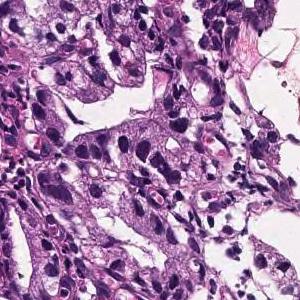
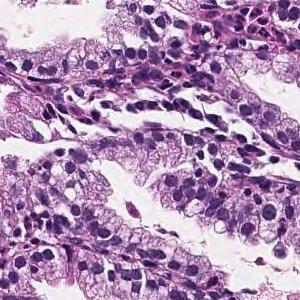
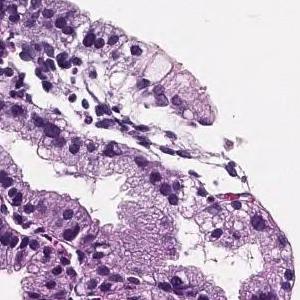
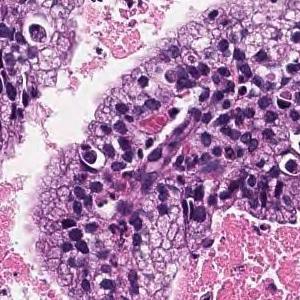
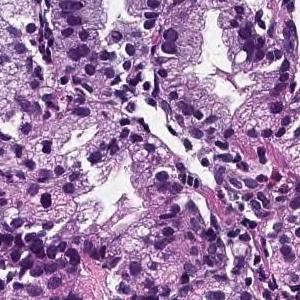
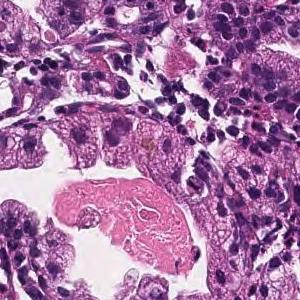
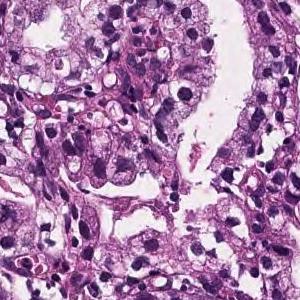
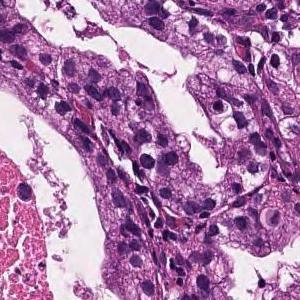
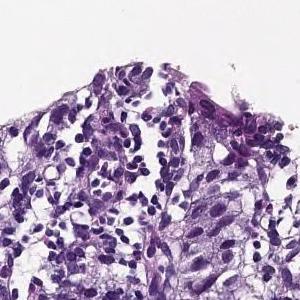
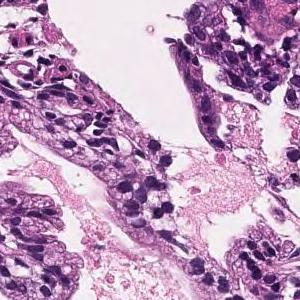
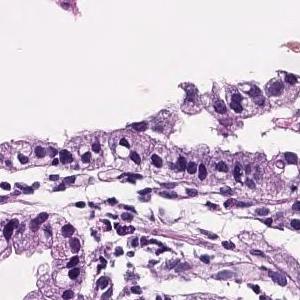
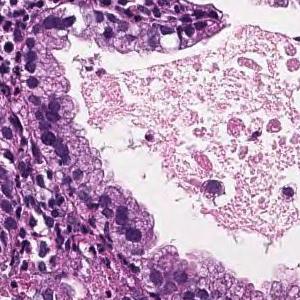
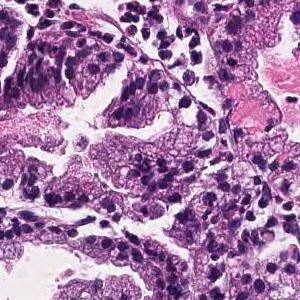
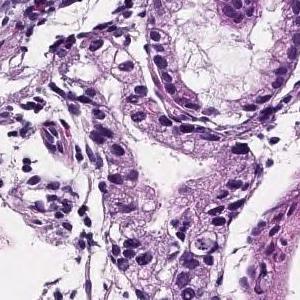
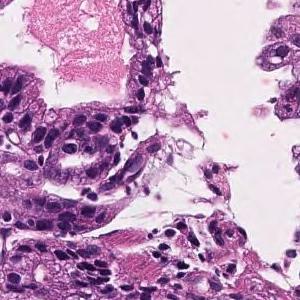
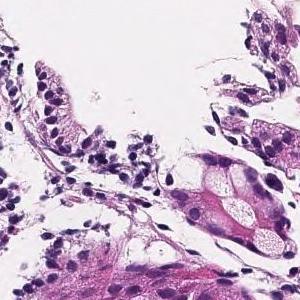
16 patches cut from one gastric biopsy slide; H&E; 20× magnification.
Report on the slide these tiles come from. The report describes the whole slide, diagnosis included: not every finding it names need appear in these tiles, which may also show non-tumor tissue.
In the superficial epithelium, tumor tissue that infiltrates by forming medium-sized papillary or small irregular ducts is observed. Papillary adenocarcinoma
